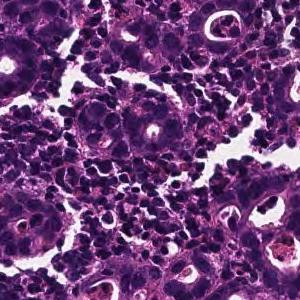
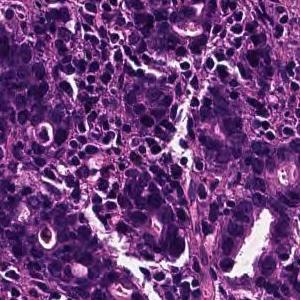
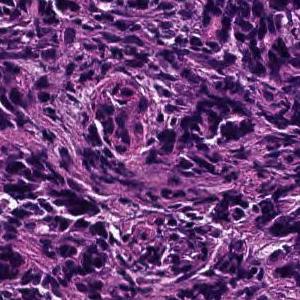
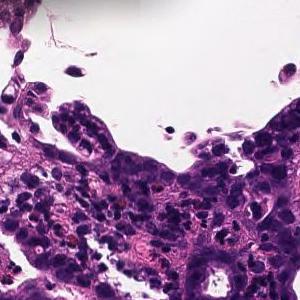
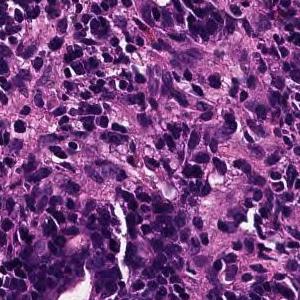
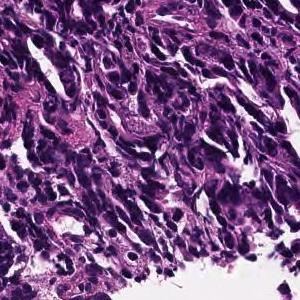
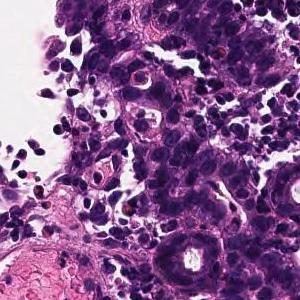
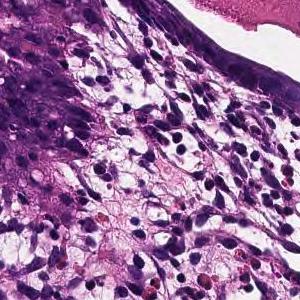
8 tiles from the same stomach biopsy slide, each 300 × 300 pixels, H&E.
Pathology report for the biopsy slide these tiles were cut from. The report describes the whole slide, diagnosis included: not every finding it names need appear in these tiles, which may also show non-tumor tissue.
On the superficial epithelium, tumor tissue is found in which medium-sized irregular gland ducts fuse with each other and infiltrate. moderately differentiated tubular adenocarcinoma or Poorly differentiated adenocarcinoma, non-solid type
Subtype: Moderately to poorly differentiated adenocarcinoma.
The term "non-solid type" comes from the Japanese Classification of Gastric Carcinoma.
